10 image tiles from a single gastric biopsy slide · each 300 × 300 pixels · H&E stain.
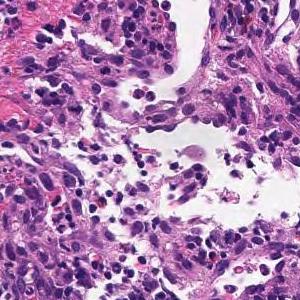
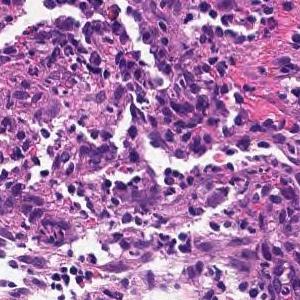
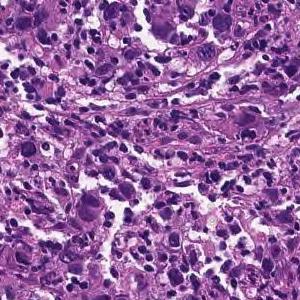
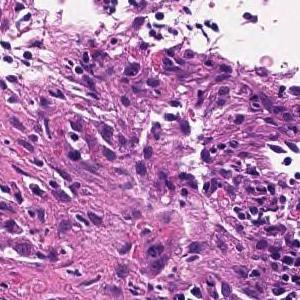
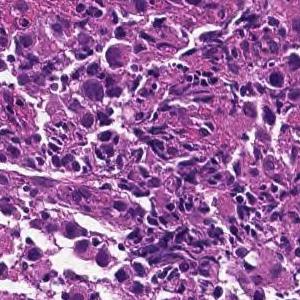
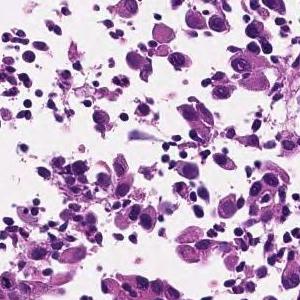
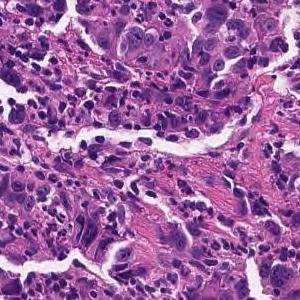
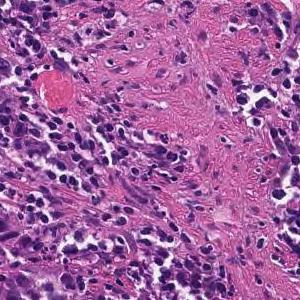
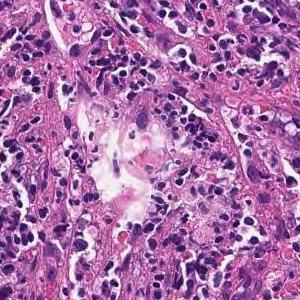
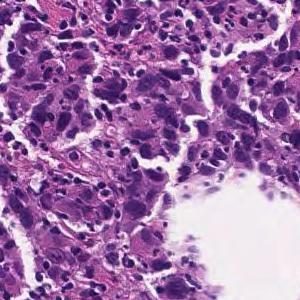
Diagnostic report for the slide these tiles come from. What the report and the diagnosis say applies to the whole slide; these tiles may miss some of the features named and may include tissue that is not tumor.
The superficial epithelium shows a large sheet-like shape, and some tumor tissue infiltrates with small irregular ducts. Poorly differentiated adenocarcinoma, solid-type (poorly differentiated adenocarcinoma, solid type)
Classified as poorly differentiated adenocarcinoma, solid type, a category of the Japanese Classification of Gastric Carcinoma; in the WHO 2019 classification it is tubular adenocarcinoma, poorly differentiated.
